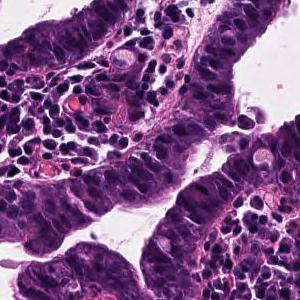
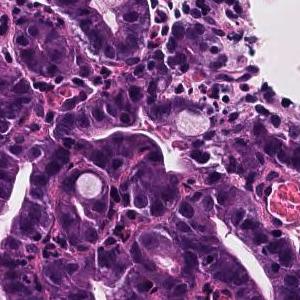
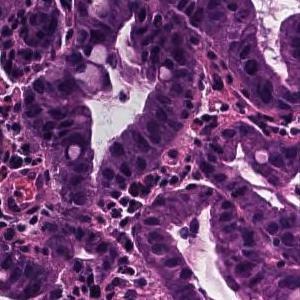
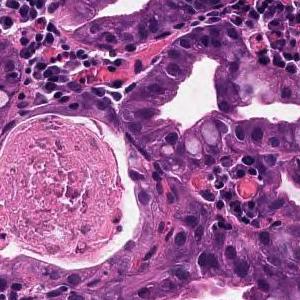
Hematoxylin and eosin stain; ×20; 4 image tiles from a single gastric biopsy slide; each 300 × 300 pixels.
The pathologist's report on the biopsy slide these tiles were taken from. The report and the diagnosis describe the slide as a whole, so these tiles may not show every feature named and may include non-tumor tissue.
Atypical tubular proliferation of well to moderately differentiated gastric gland with hyperchromatic nuclei and high N:C ratio. Mitotic figures were also present. These histological findings were suggestive of well to moderately differentiated tubular adenocarcinoma (well differentiated tubular adenocarcinoma, moderately differentiated tubular adenocarcinoma).
The dataset labels this slide well differentiated tubular adenocarcinoma.
